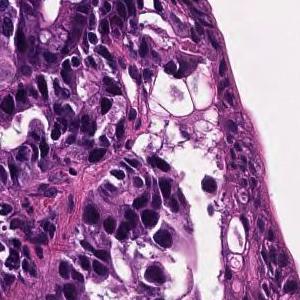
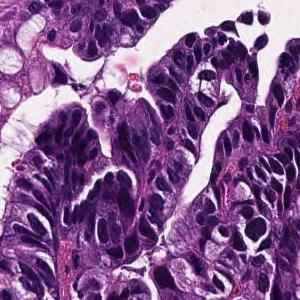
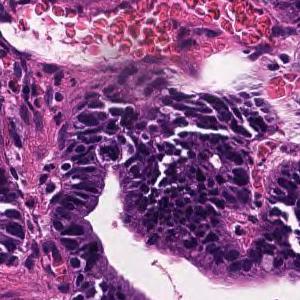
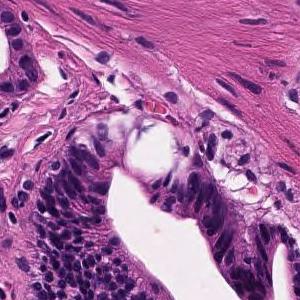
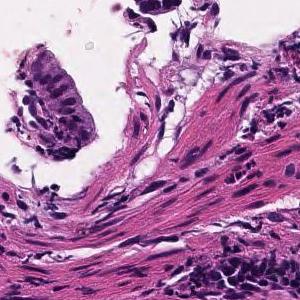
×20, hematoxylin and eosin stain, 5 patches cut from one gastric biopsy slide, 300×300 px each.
Diagnostic report for the slide these tiles come from. The findings and the diagnosis refer to the entire slide; these tiles show only part of it, possibly with non-tumor tissue, and may not show every feature named.
Tumor cells are large, highly columnar, large club-shaped nuclei, and are associated with chromatin aggregation. Papillary adenocarcinoma.
